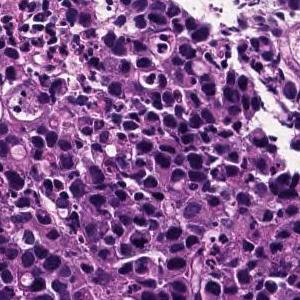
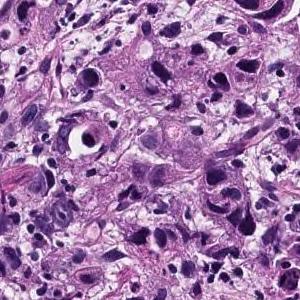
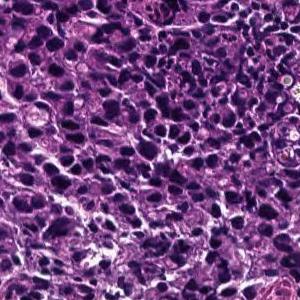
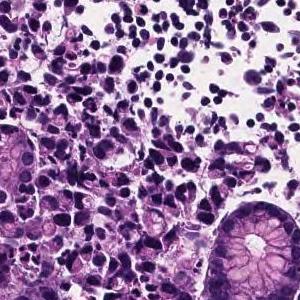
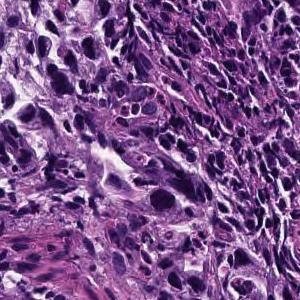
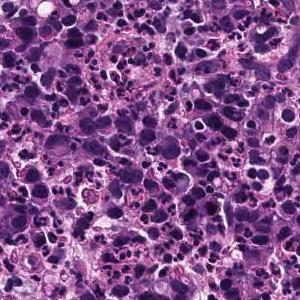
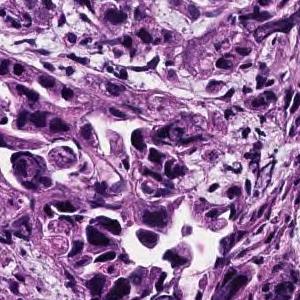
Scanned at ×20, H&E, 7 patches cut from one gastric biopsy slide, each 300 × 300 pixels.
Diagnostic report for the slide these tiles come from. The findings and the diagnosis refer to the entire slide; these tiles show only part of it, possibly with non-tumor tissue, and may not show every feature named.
The superficial epithelium shows a large sheet-like shape, and some tumor tissue infiltrates with small irregular ducts. Poorly differentiated adenocarcinoma, solid-type
Tumor subtype: poorly differentiated adenocarcinoma, solid type, a category of the Japanese Classification of Gastric Carcinoma; in the WHO 2019 classification it is tubular adenocarcinoma, poorly differentiated.
